8 tiles from the same stomach biopsy slide, H&E stain, scanned at ×20.
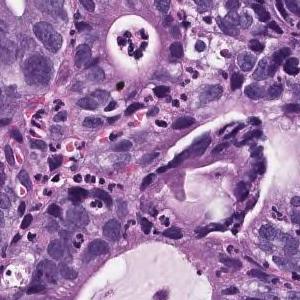
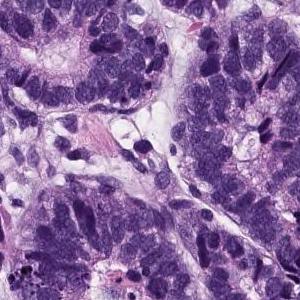
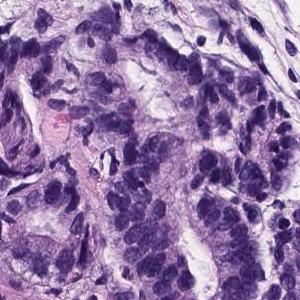
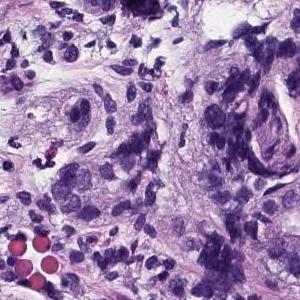
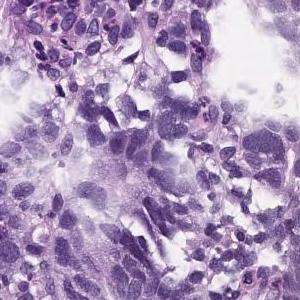
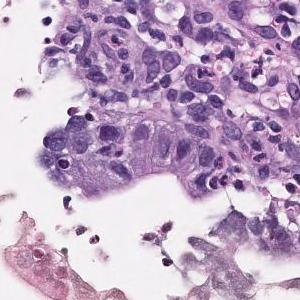
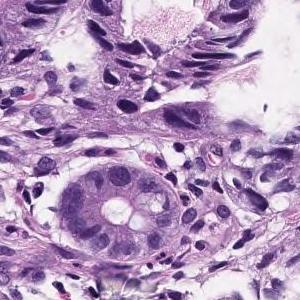
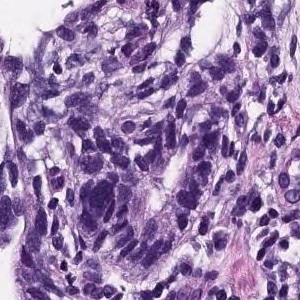
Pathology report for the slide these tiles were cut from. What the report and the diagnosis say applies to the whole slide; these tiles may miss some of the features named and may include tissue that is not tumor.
On the superficial epithelium, tumor tissue consisting of large, irregular glandular ducts partially fused and infiltrated is observed. Well to moderately differentiated tubular adenocarcinoma (well differentiated tubular adenocarcinoma, moderately differentiated tubular adenocarcinoma)
The dataset labels this slide well differentiated tubular adenocarcinoma.
